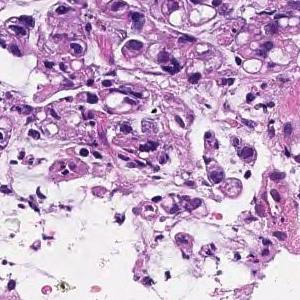
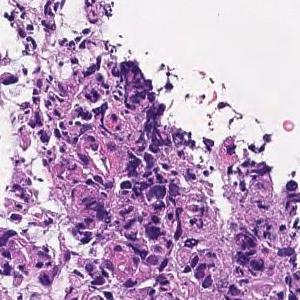
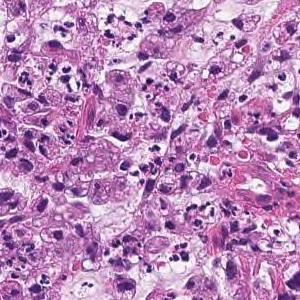
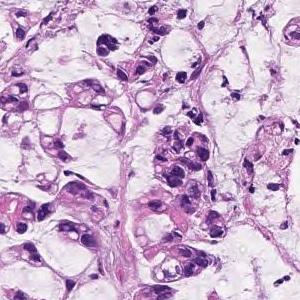
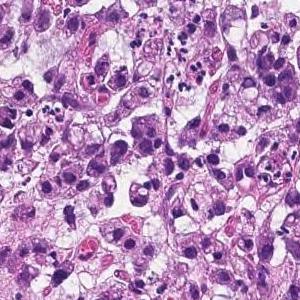
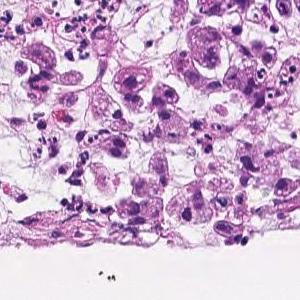
6 image tiles from a single gastric biopsy slide · each 300 × 300 pixels · H&E stain.
Pathology report for the slide these tiles were cut from. Both the report and the diagnosis are for the whole slide: these tiles need not show every feature named, and some of the tissue shown may not be tumor.
Tumor tissue consisting of cord-like or small, irregular glandular ducts fused and infiltrated is observed in the superficial epithelium. Poorly differentiated adenocarcinoma, non-solid type
The term "non-solid type" comes from the Japanese Classification of Gastric Carcinoma.
